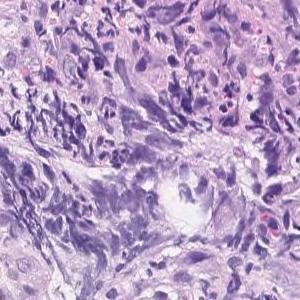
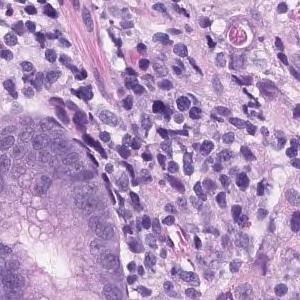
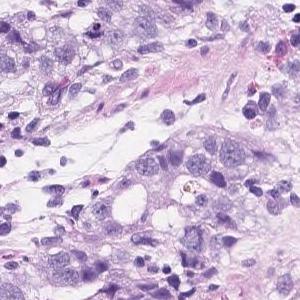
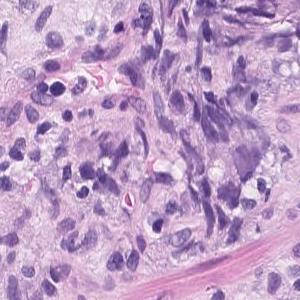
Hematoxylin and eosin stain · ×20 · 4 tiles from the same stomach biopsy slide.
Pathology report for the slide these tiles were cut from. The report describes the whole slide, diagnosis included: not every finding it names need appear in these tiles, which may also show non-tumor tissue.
Atypical epithelial cells infiltrating and proliferating diffusely or while forming vesicles is observed. Poorly differentiated adenocarcinoma (poorly differentiated adenocarcinoma, solid type moderately differentiated tubular adenocarcinoma)
Dataset label: poorly differentiated adenocarcinoma, solid type. This name comes from the Japanese Classification of Gastric Carcinoma; the WHO 2019 classification calls it tubular adenocarcinoma, poorly differentiated.
